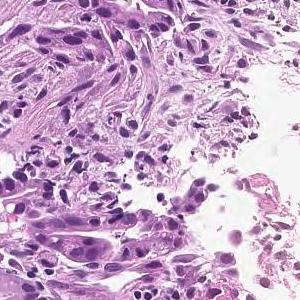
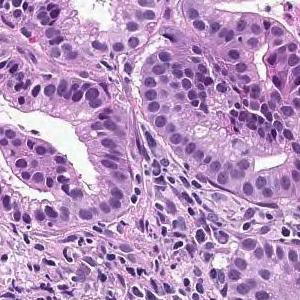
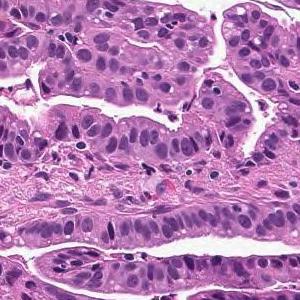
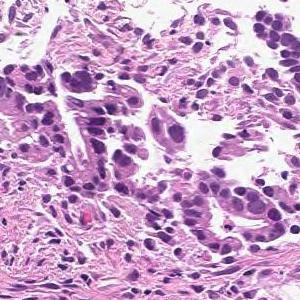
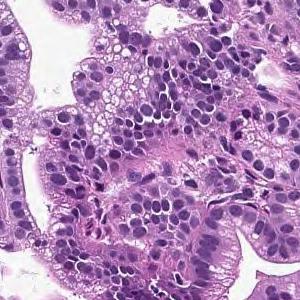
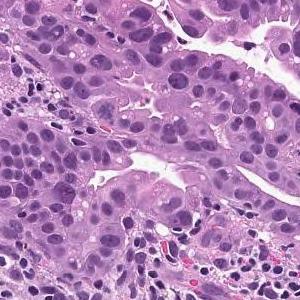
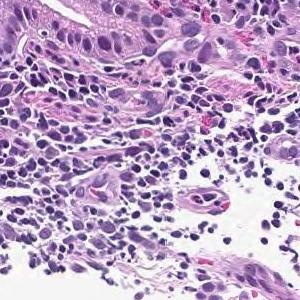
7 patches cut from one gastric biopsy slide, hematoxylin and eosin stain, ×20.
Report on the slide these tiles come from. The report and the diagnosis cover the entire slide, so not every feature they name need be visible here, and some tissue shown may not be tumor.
On the superficial epithelium, tumor tissue that infiltrates by forming medium-sized papillary or small irregular ducts is observed. Papillary adenocarcinoma
